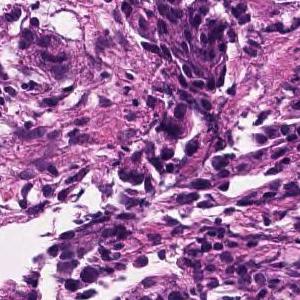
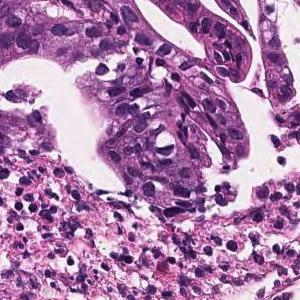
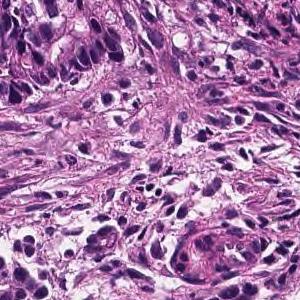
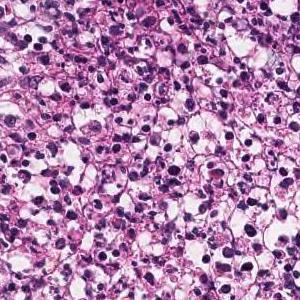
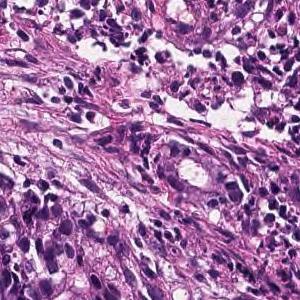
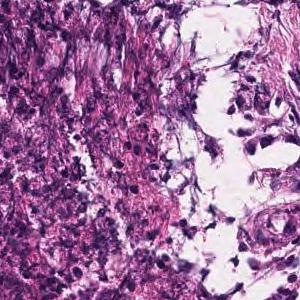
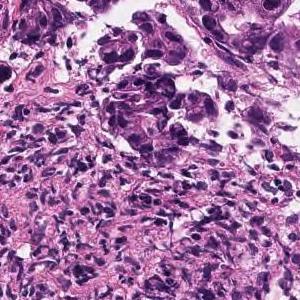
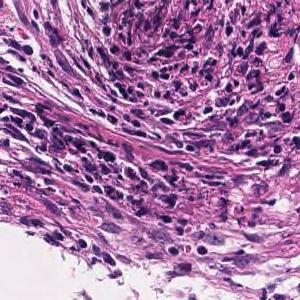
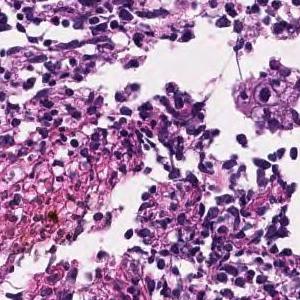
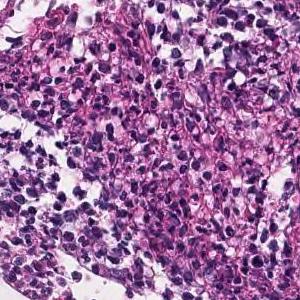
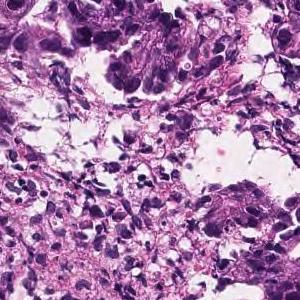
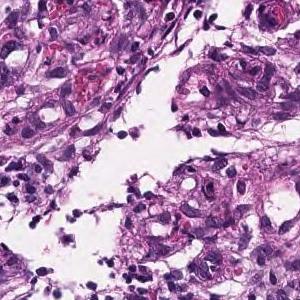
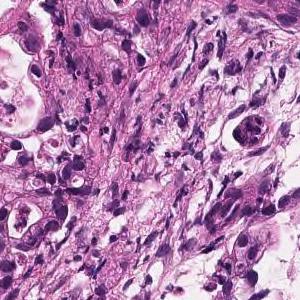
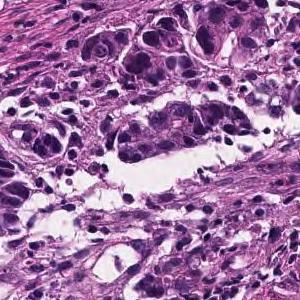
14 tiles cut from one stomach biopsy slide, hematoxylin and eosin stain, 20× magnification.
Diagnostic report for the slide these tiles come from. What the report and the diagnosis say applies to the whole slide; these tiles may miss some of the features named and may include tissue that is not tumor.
In the superficial epithelium, medium to small, irregular gland ducts are formed, and in some cases, the gland ducts are fused to show solid alveolar lesions and infiltrating tumor tissue is observed. Moderately to poorly differentiated adenocarcinoma.
